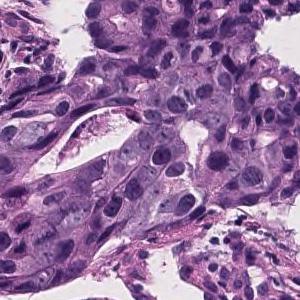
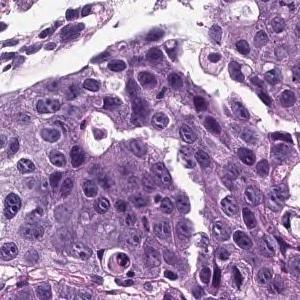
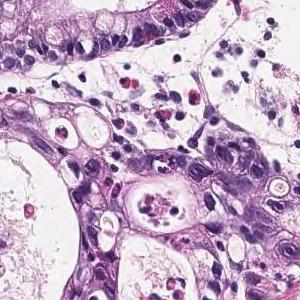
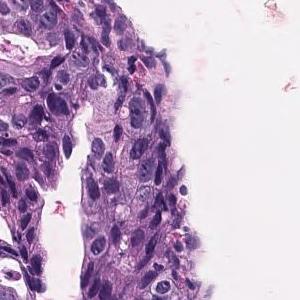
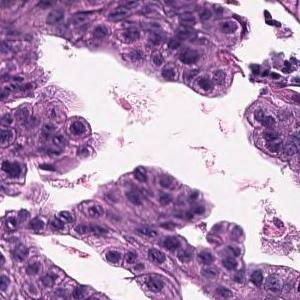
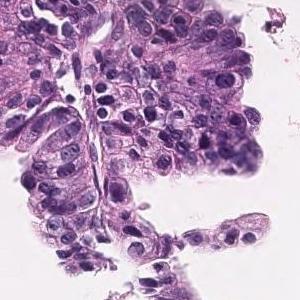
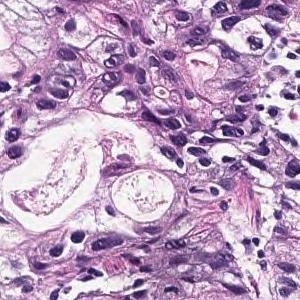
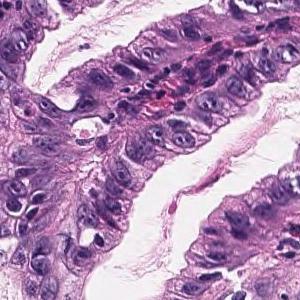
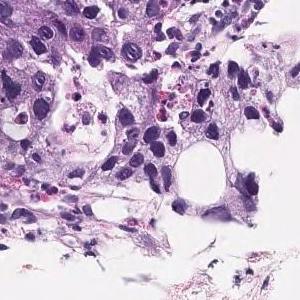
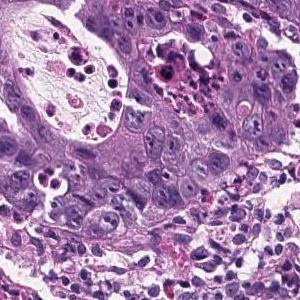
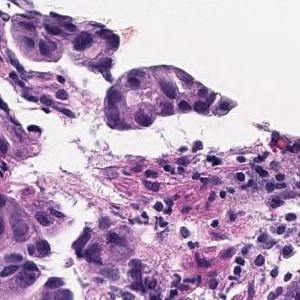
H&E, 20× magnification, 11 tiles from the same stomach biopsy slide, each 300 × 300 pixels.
Report on the slide these tiles come from. The report describes the whole slide, diagnosis included: not every finding it names need appear in these tiles, which may also show non-tumor tissue.
Tumor cells are large, highly columnar, large club-shaped nuclei, and are associated with chromatin aggregation. Papillary adenocarcinoma.
